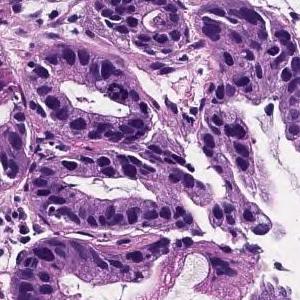
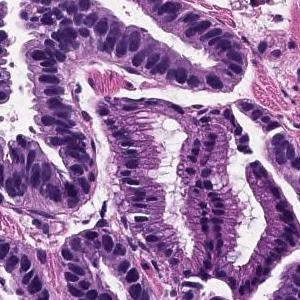
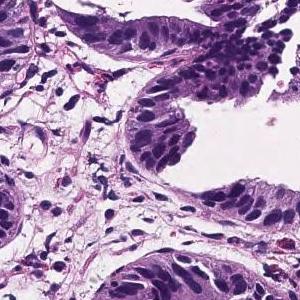
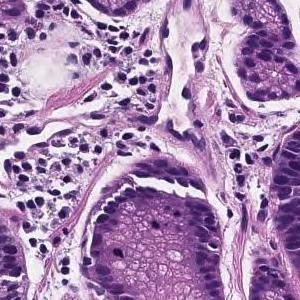
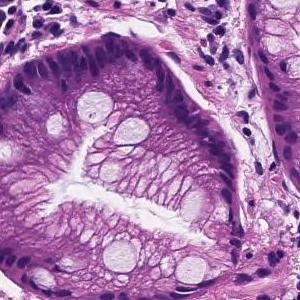
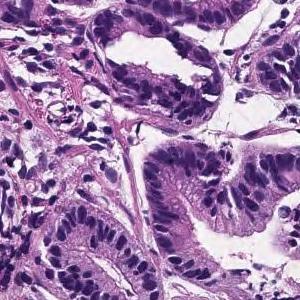
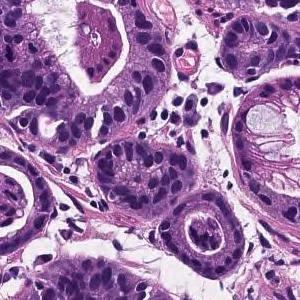
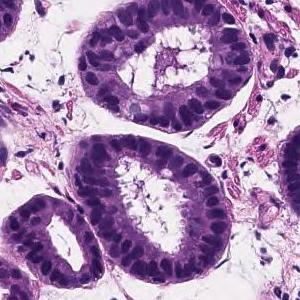
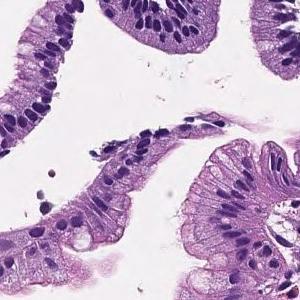
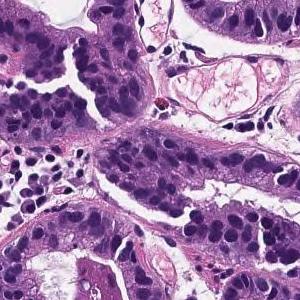
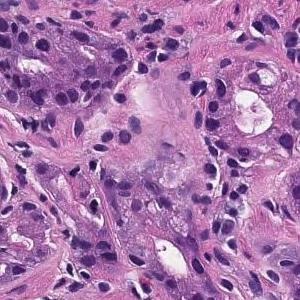
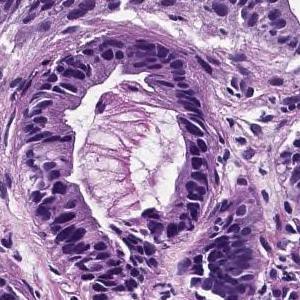
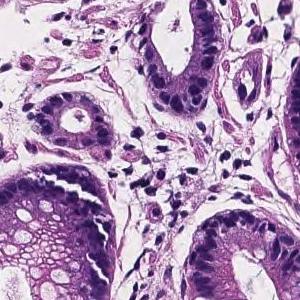
13 image tiles from a single gastric biopsy slide; 300 × 300 pixels each; H&E stain; ×20.
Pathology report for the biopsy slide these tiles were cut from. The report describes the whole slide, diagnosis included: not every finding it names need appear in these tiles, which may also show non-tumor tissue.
Tumor cells are large, highly columnar, large club-shaped nuclei, and are associated with chromatin aggregation. Papillary adenocarcinoma.
